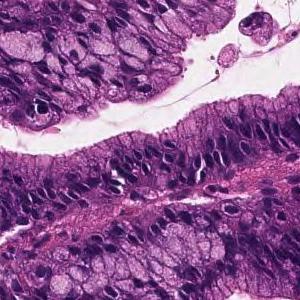
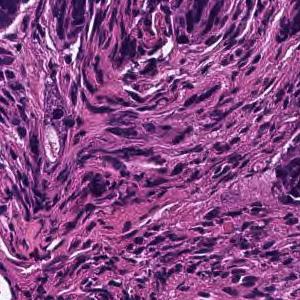
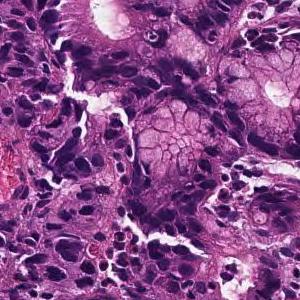
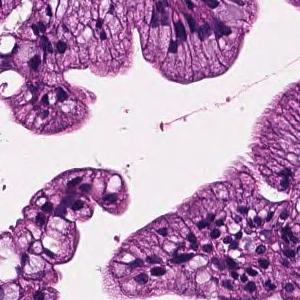
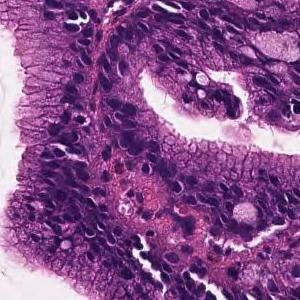
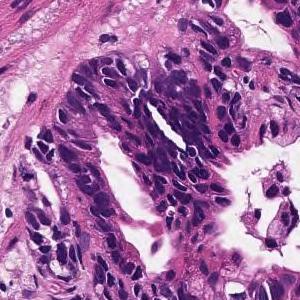
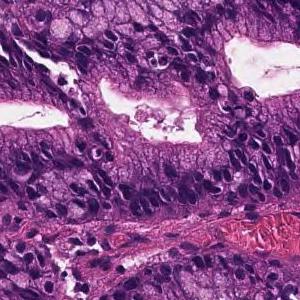
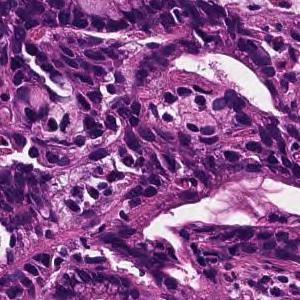
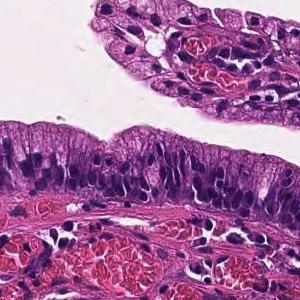
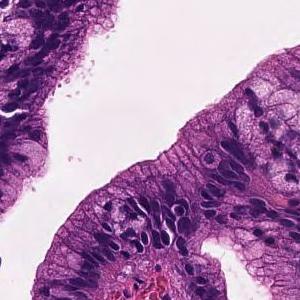
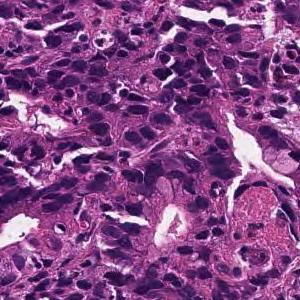
20× magnification; hematoxylin and eosin stain; 11 patches cut from one gastric biopsy slide; 300×300 px each.
Diagnostic report for the slide these tiles come from. The findings and the diagnosis refer to the entire slide; these tiles show only part of it, possibly with non-tumor tissue, and may not show every feature named.
On the superficial epithelium, tumor tissue consisting of medium-sized and irregular glandular ducts partially fused and infiltrated is observed. Well to moderately differentiated tubular adenocarcinoma (well differentiated tubular adenocarcinoma-moderately differentiated tubular adenocarcinoma)
Histologic type: Well to moderately differentiated tubular adenocarcinoma.
